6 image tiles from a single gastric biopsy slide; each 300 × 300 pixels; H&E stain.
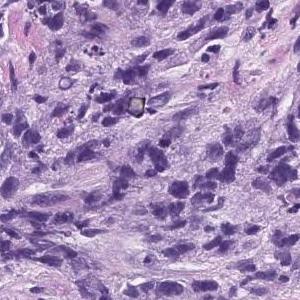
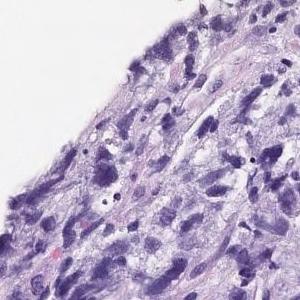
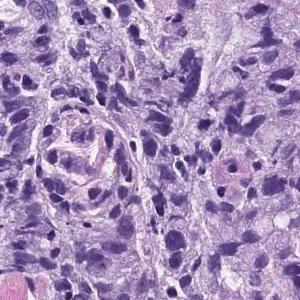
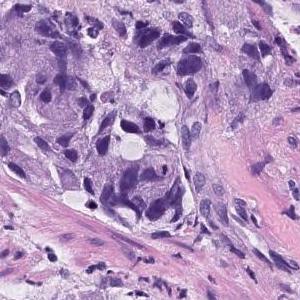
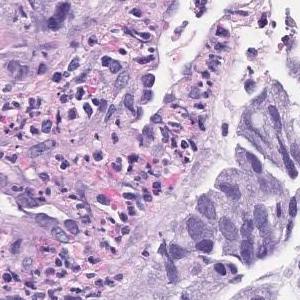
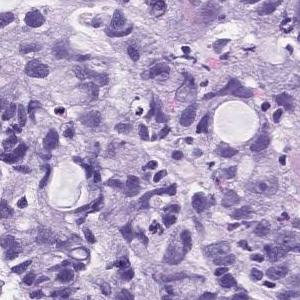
The pathologist's report on the biopsy slide these tiles were taken from. Both the report and the diagnosis are for the whole slide: these tiles need not show every feature named, and some of the tissue shown may not be tumor.
Atypical l cells with atypical nuclei forming solid vesicles or small irregular atypical ducts that proliferate in a complex manner. poorly differentiated adenocarcinoma, solid type, moderately differentiated tubular adenocarcinoma
"Solid type" is a category of the Japanese Classification of Gastric Carcinoma; in the WHO 2019 classification it is tubular adenocarcinoma, poorly differentiated.
